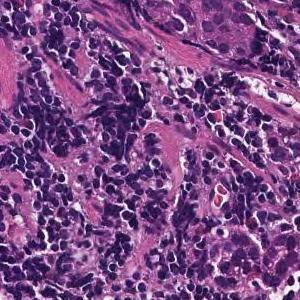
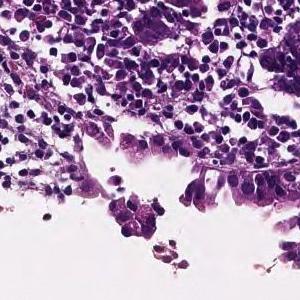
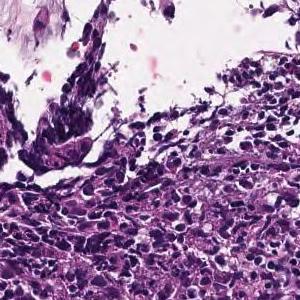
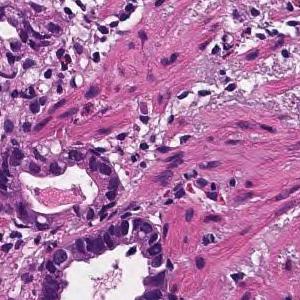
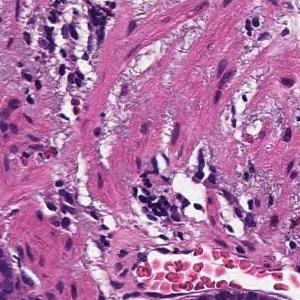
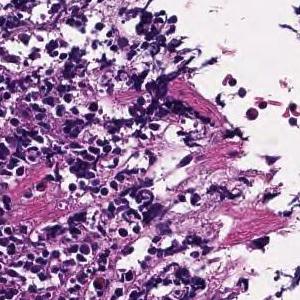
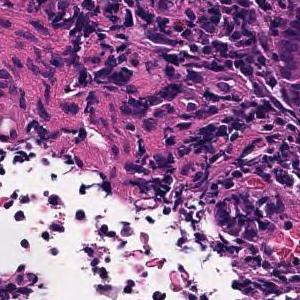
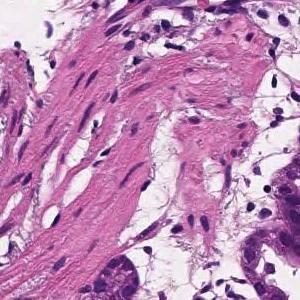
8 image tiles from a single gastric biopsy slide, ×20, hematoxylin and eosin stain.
Diagnostic report for the slide these tiles come from. What the report and the diagnosis say applies to the whole slide; these tiles may miss some of the features named and may include tissue that is not tumor.
Tumor tissue consisting of medium-sized, cord-like or irregular glandular infiltration is observed in the superficial epithelium. Poorly differentiated adenocarcinoma, non-solid type or moderately differentiated tubular adenocarcinoma
Histologic type: Moderately to poorly differentiated adenocarcinoma.
The term "non-solid type" comes from the Japanese Classification of Gastric Carcinoma.
